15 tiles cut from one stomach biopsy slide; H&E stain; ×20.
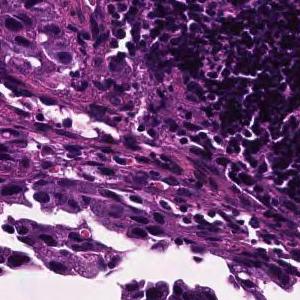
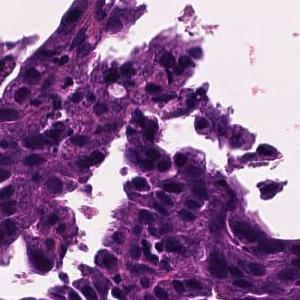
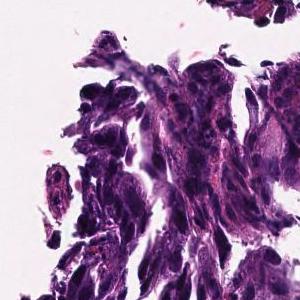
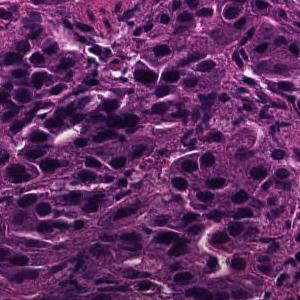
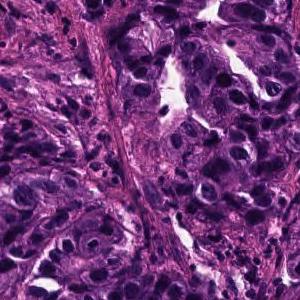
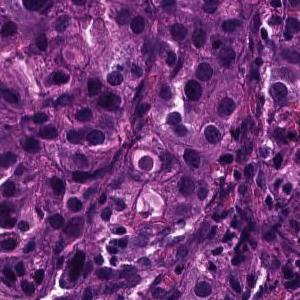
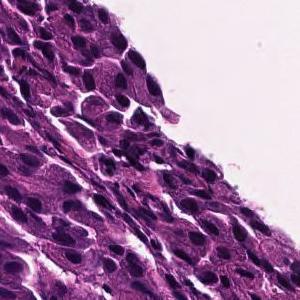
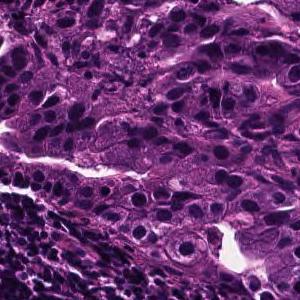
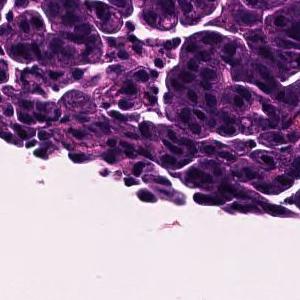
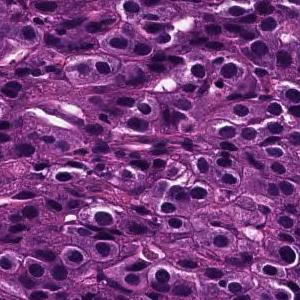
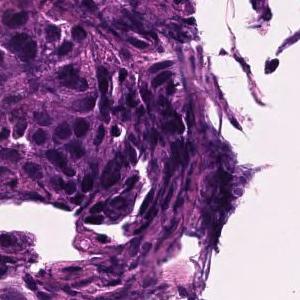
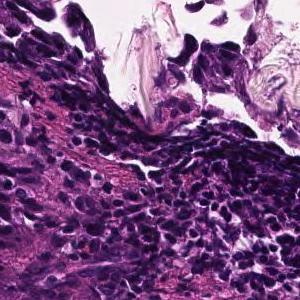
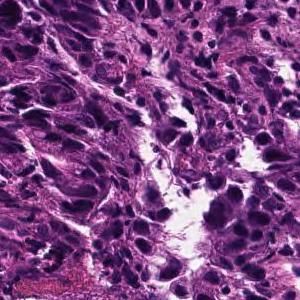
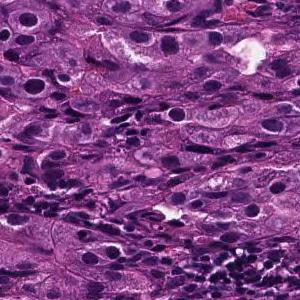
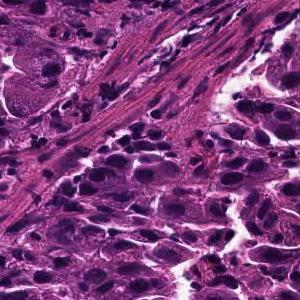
Diagnostic report for the slide these tiles come from. What the report and the diagnosis say applies to the whole slide; these tiles may miss some of the features named and may include tissue that is not tumor.
Tumor tissue consisting of medium-sized, cord-like or irregular glandular fusion and infiltration is observed in the superficial epithelium. Poorly differentiated adenocarcinoma, non-solid type or moderately differentiated tubular adenocarcinoma
Histologic type: Moderately to poorly differentiated adenocarcinoma.
The non-solid type named here is a Japanese Classification of Gastric Carcinoma category.
